4 image tiles from a single gastric biopsy slide · scanned at ×20.
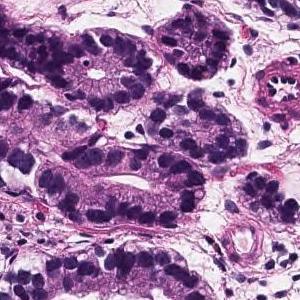
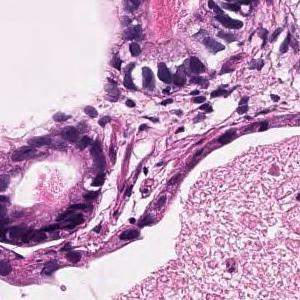
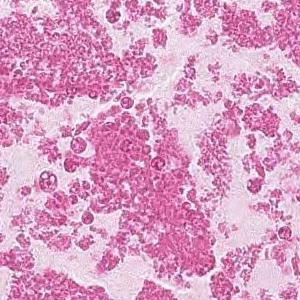
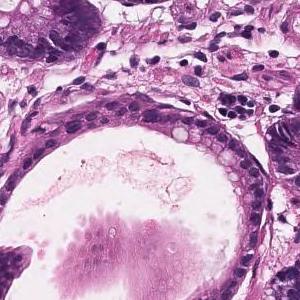
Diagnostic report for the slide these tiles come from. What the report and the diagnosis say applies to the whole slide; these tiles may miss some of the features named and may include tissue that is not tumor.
Tumor tissue consisting of medium-sized and irregular ducts is observed infiltrating in the superficial epithelium. Tumor cells are highly columnar, with nuclei aligned basolaterally and polarized. Well differentiated tubular adenocarcinoma.
